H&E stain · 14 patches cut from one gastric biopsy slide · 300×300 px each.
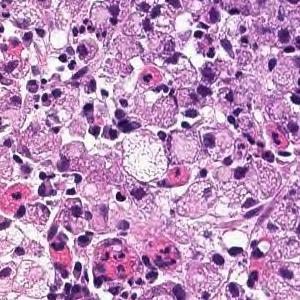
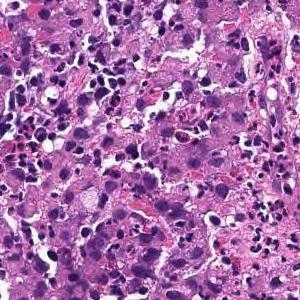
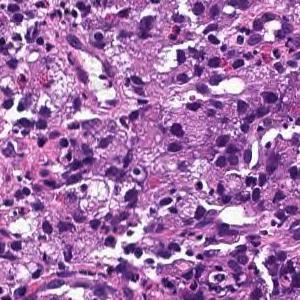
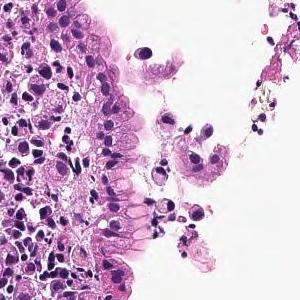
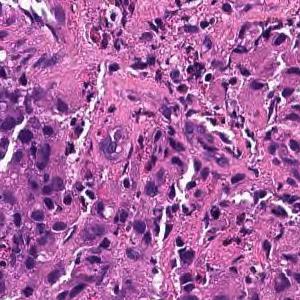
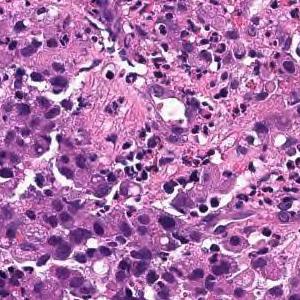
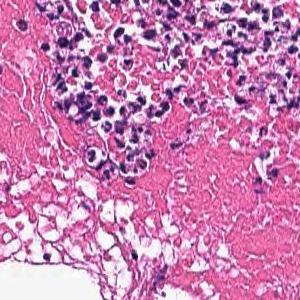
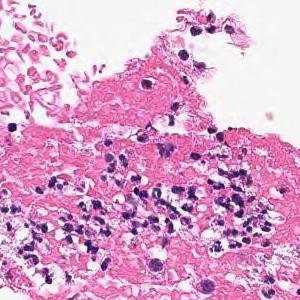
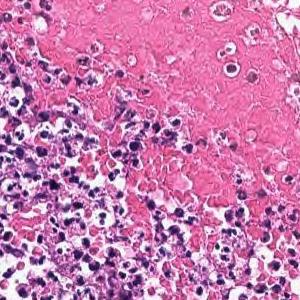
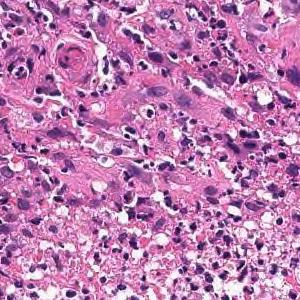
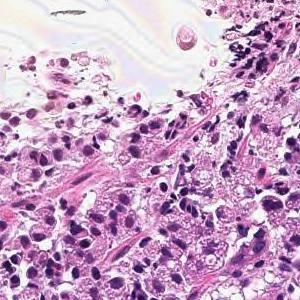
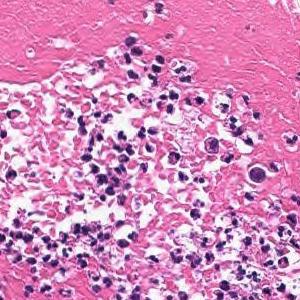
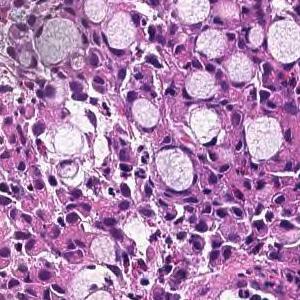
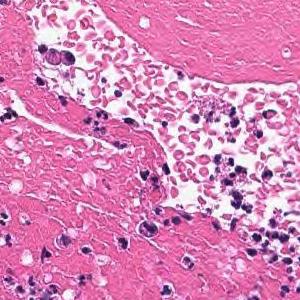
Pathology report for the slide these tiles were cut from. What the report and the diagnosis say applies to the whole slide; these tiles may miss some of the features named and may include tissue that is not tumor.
Tumor tissue consisting of diffusely infiltrated large atypical epithelial cells or signet ring atypical cells is observed in the superficial epithelium. Poorly differentiated adenocarcinoma, solid-type
Tumor subtype: poorly differentiated adenocarcinoma, solid type (Japanese Classification of Gastric Carcinoma). The WHO 2019 equivalent is tubular adenocarcinoma, poorly differentiated.
